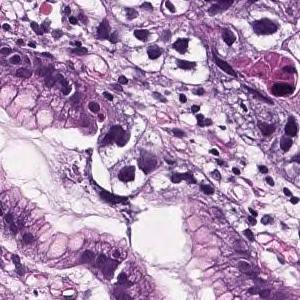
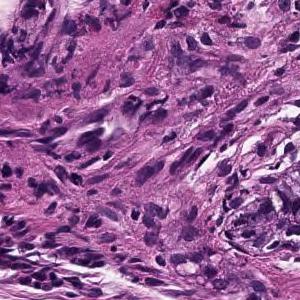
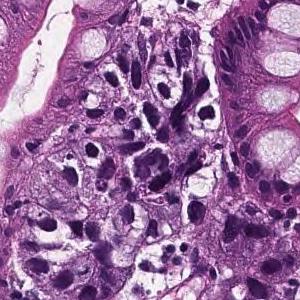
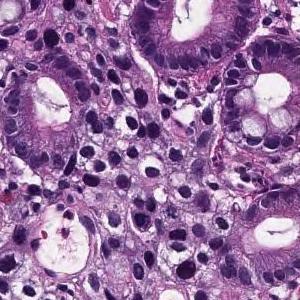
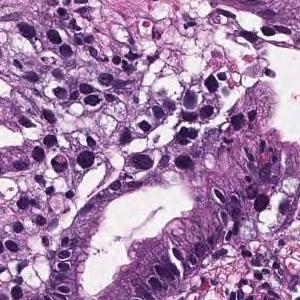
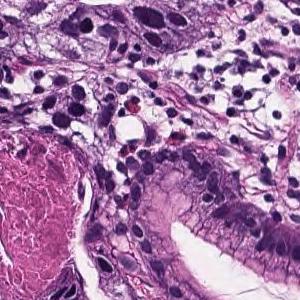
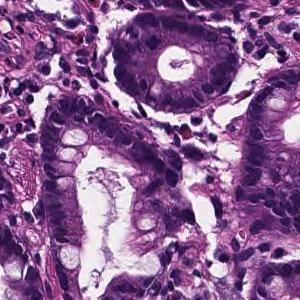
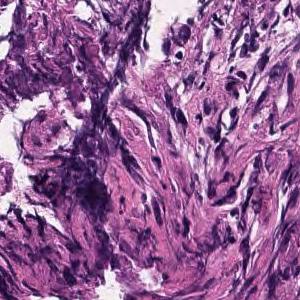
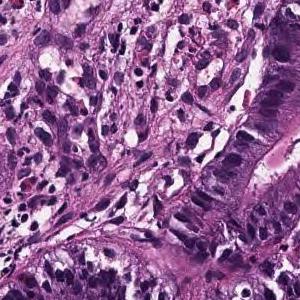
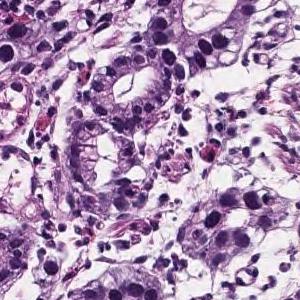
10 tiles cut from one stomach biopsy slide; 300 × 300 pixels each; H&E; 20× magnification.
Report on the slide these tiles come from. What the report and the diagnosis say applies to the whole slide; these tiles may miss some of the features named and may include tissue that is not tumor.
In the superficial epithelium, medium to small irregular gland ducts are formed, and in some cases, the ducts are fused to show solid alveolar lesions and infiltrating tumor tissue is observed. Moderately to poorly differentiated adenocarcinoma
